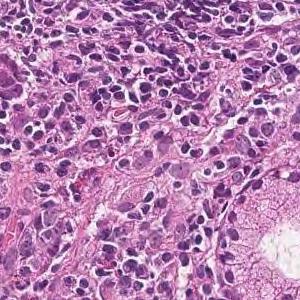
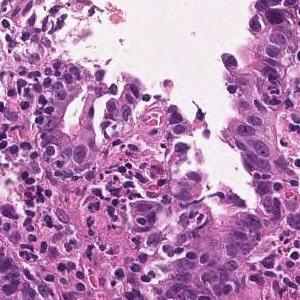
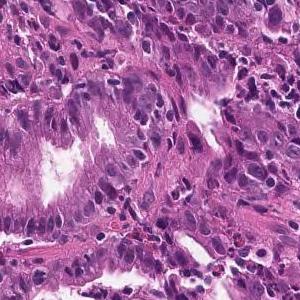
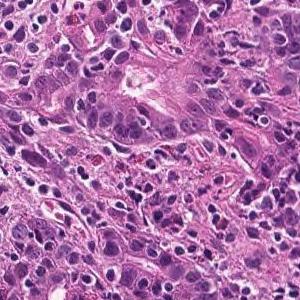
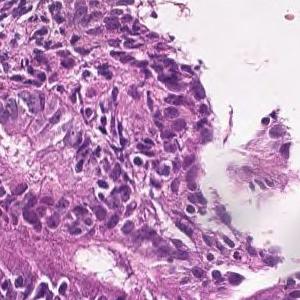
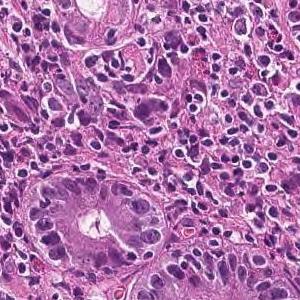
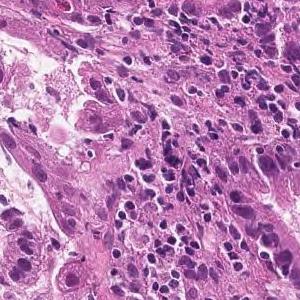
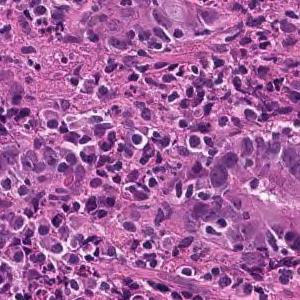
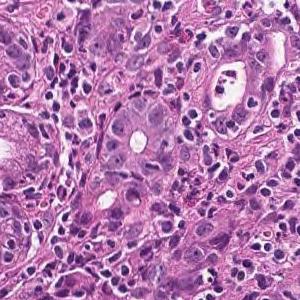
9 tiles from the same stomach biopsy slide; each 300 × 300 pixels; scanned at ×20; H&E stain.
Diagnostic report for the slide these tiles come from. The findings and the diagnosis refer to the entire slide; these tiles show only part of it, possibly with non-tumor tissue, and may not show every feature named.
Tumor tissue consisting of medium-sized, cord-like or irregular glandular infiltration is observed in the superficial epithelium. Poorly differentiated adenocarcinoma, non-solid type or moderately differentiated tubular adenocarcinoma
Labeled in the dataset as poorly differentiated adenocarcinoma, non-solid type.
The term "non-solid type" comes from the Japanese Classification of Gastric Carcinoma.
